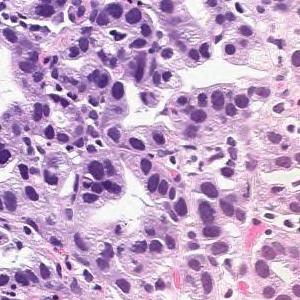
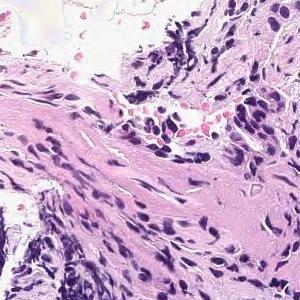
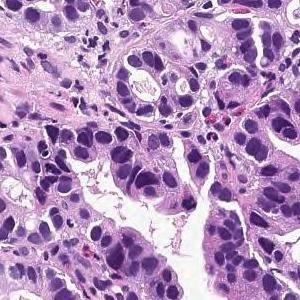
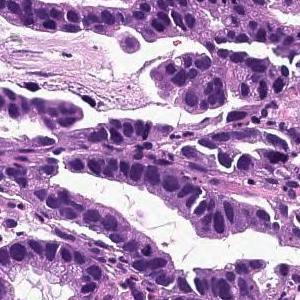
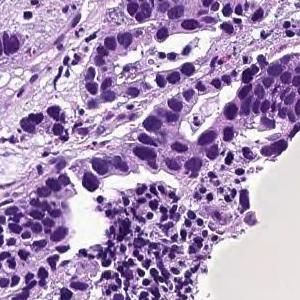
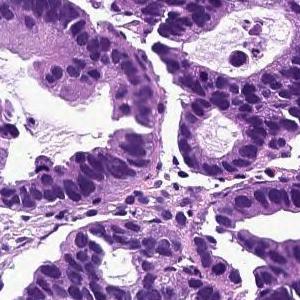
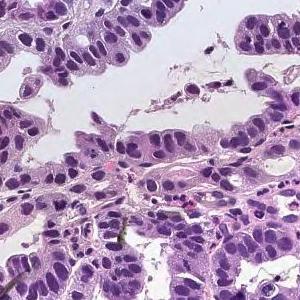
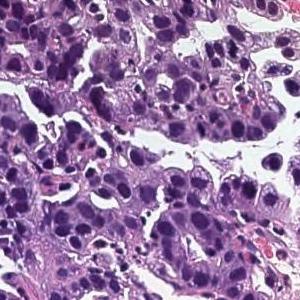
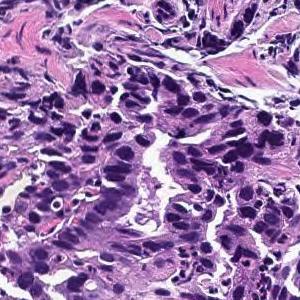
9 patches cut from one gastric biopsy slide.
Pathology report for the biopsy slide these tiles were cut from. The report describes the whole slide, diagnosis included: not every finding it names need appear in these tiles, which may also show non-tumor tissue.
On the superficial epithelium, tumor tissue consisting of large irregular glandular ducts partially fused and infiltrated is observed. Well to moderately differentiated tubular adenocarcinoma (well differentiated tubular adenocarcinoma, moderately differentiated tubular adenocarcinoma)
Tumor subtype: well to moderately differentiated tubular adenocarcinoma.
